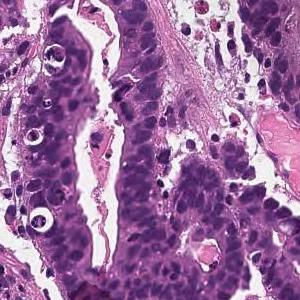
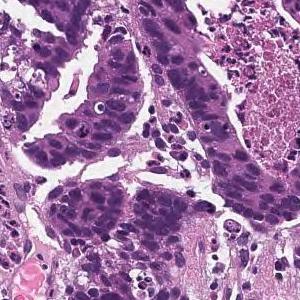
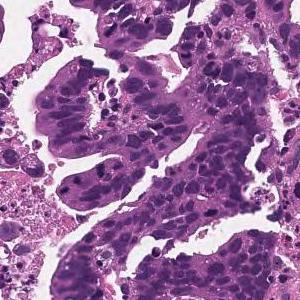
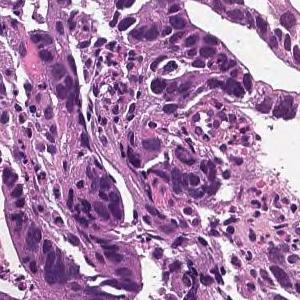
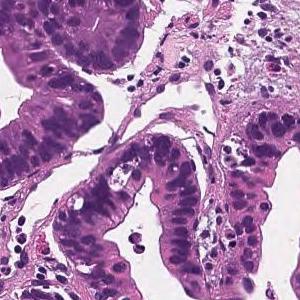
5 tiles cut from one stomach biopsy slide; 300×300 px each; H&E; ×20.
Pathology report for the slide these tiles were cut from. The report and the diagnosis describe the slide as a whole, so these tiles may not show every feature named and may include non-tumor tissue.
In the superficial epithelium, tumor tissue that invades by forming medium-sized to small, irregular ducts is observed. moderately differentiated tubular adenocarcinoma.
